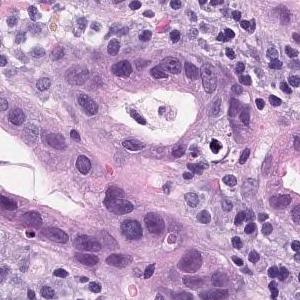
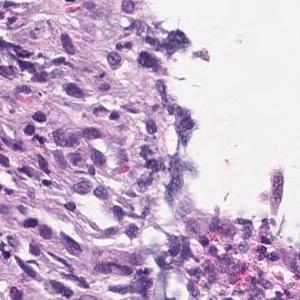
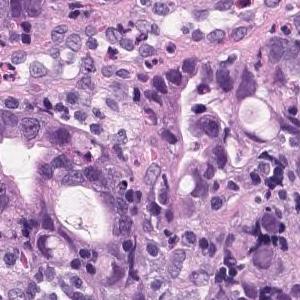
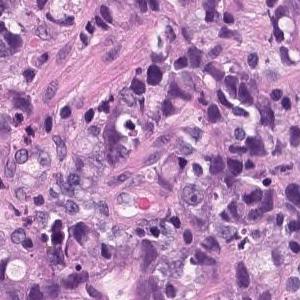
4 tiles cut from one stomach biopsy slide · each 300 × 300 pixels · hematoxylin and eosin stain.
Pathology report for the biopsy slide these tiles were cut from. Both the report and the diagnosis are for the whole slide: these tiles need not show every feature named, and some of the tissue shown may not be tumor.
Tumor tissue consisting of medium-sized, cord-like or irregular glandular infiltration is observed in the superficial epithelium. Poorly differentiated adenocarcinoma, non-solid type or moderately differentiated tubular adenocarcinoma
Dataset label: poorly differentiated adenocarcinoma, non-solid type.
The term "non-solid type" comes from the Japanese Classification of Gastric Carcinoma.
